H&E · 11 image tiles from a single gastric biopsy slide · each 300 × 300 pixels.
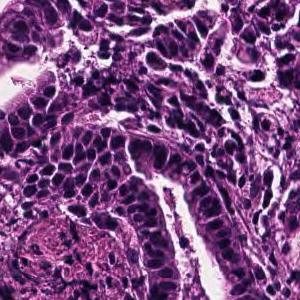
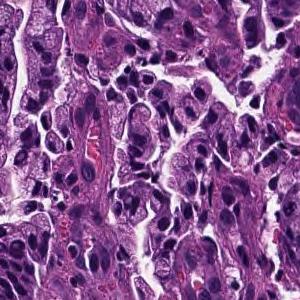
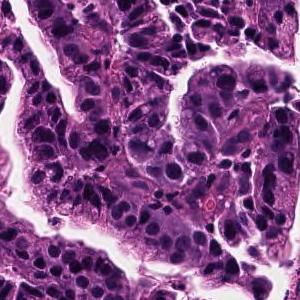
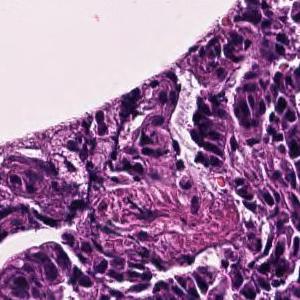
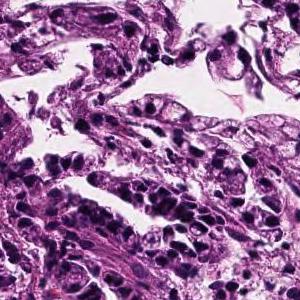
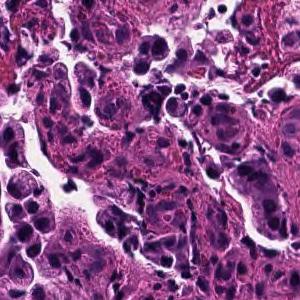
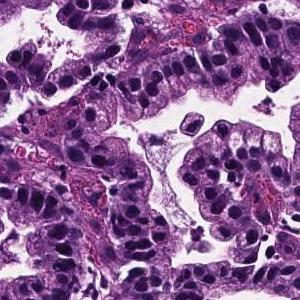
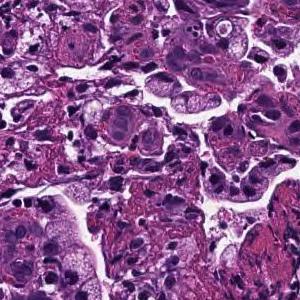
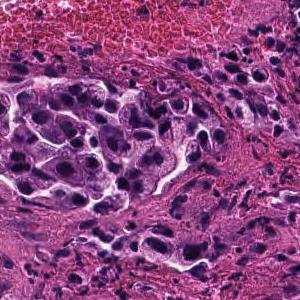
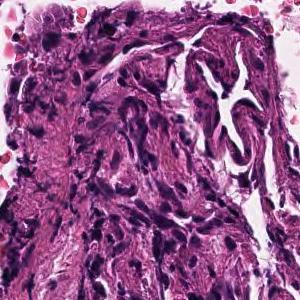
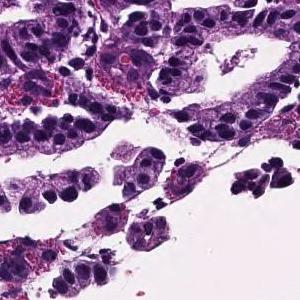
Pathology report for the biopsy slide these tiles were cut from. Both the report and the diagnosis are for the whole slide: these tiles need not show every feature named, and some of the tissue shown may not be tumor.
Tumor cells are large, highly columnar, large club-shaped nuclei, and are associated with chromatin aggregation. Papillary adenocarcinoma.
